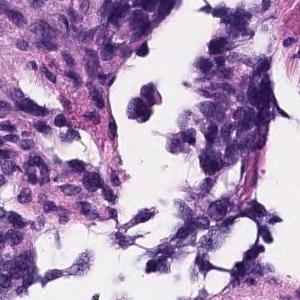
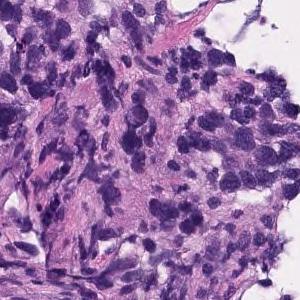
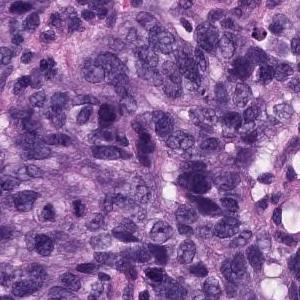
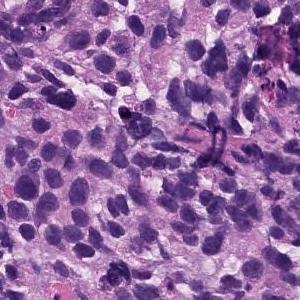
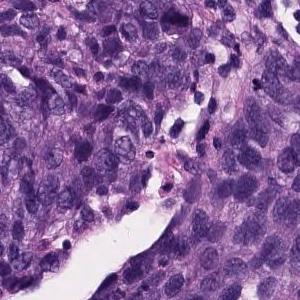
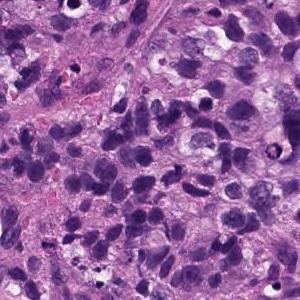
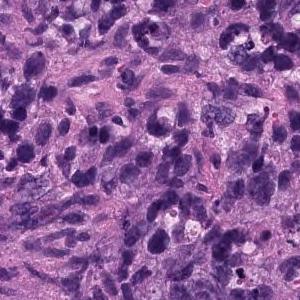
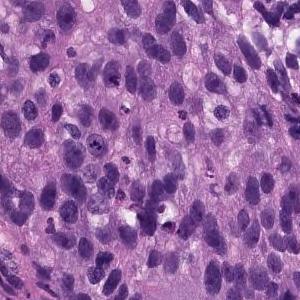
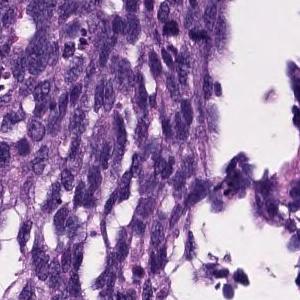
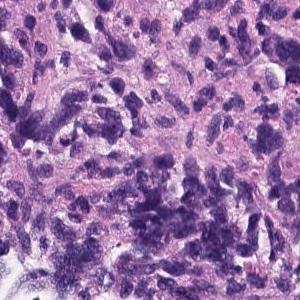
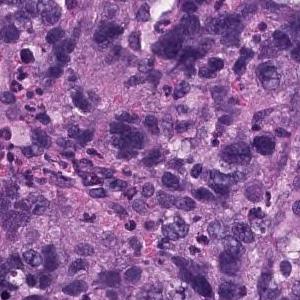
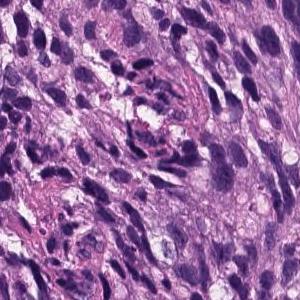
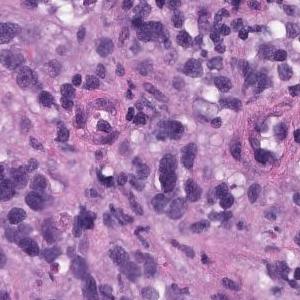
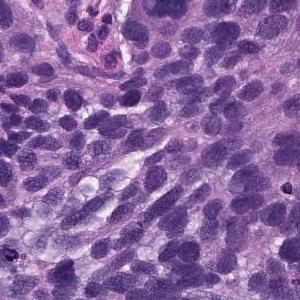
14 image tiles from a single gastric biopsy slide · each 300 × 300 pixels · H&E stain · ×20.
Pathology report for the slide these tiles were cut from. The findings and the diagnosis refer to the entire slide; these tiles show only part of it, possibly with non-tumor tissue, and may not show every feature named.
Atypical l cells with atypical nuclei under the mucosa growing in isolation and scattered. Poorly differentiated adenocarcinoma (poorly differentiated adenocarcinoma, non-solid type)
Subtype: Poorly differentiated adenocarcinoma, non-solid type.
The term "non-solid type" comes from the Japanese Classification of Gastric Carcinoma.
